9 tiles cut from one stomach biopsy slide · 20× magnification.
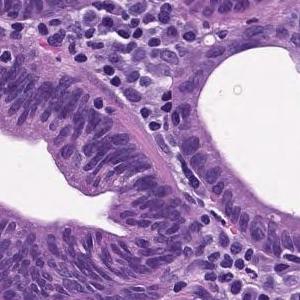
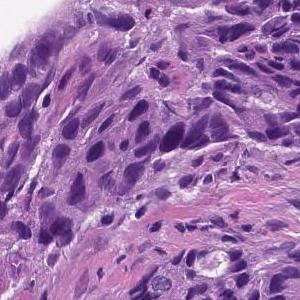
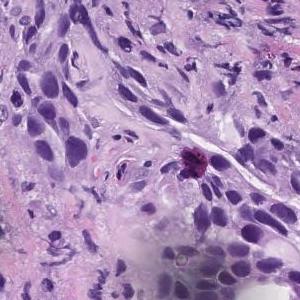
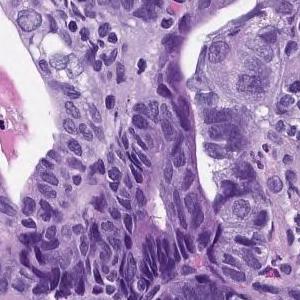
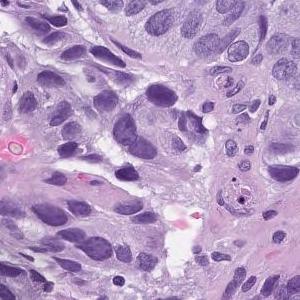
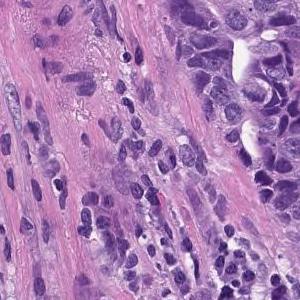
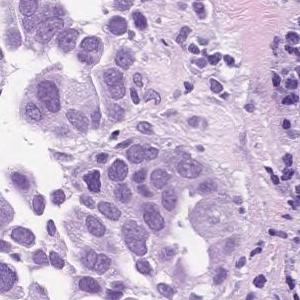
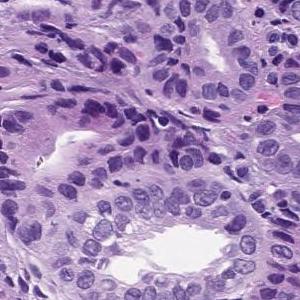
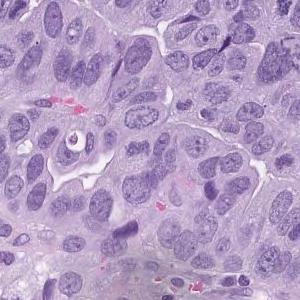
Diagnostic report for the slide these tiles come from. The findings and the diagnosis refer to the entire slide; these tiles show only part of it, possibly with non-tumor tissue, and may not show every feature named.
In the superficial epithelium, tumor tissue that invades by forming medium-sized to small, irregular ducts is observed. moderately differentiated tubular adenocarcinoma.
